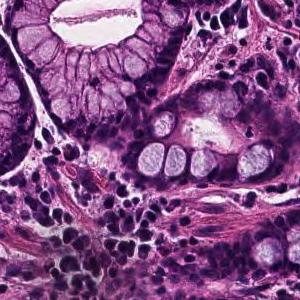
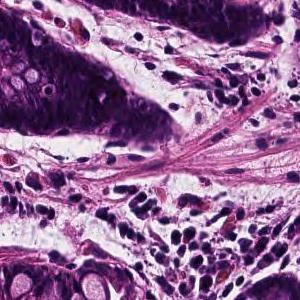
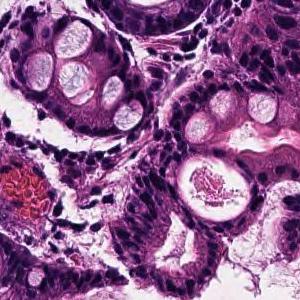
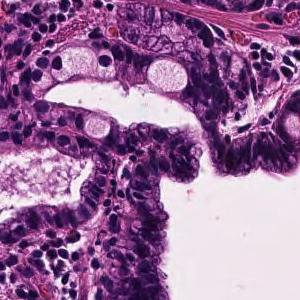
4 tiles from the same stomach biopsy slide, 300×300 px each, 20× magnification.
The pathologist's report on the biopsy slide these tiles were taken from. The report describes the whole slide, diagnosis included: not every finding it names need appear in these tiles, which may also show non-tumor tissue.
In the superficial epithelium, tumor tissue infiltrated by partial fusion of medium-sized to small, irregular glandular ducts is observed. moderately differentiated tubular adenocarcinoma
